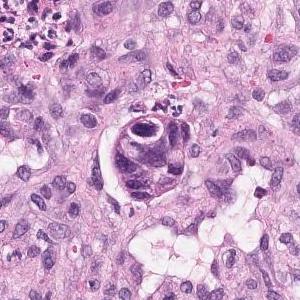
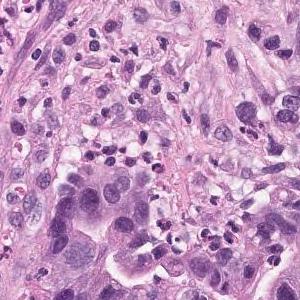
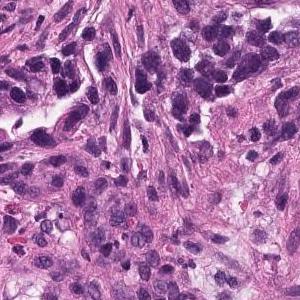
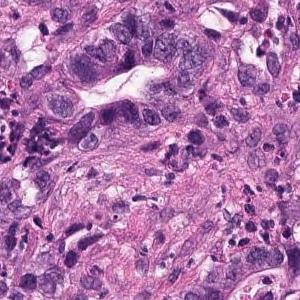
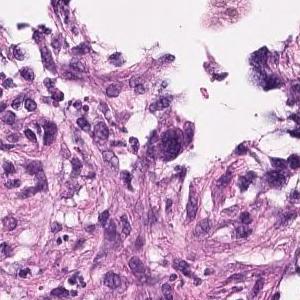
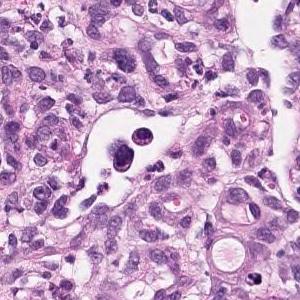
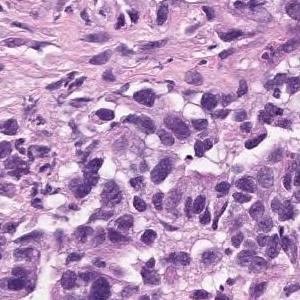
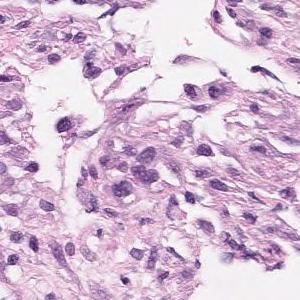
20× magnification, 8 tiles cut from one stomach biopsy slide, each 300 × 300 pixels.
The pathologist's report on the biopsy slide these tiles were taken from. Both the report and the diagnosis are for the whole slide: these tiles need not show every feature named, and some of the tissue shown may not be tumor.
Medium to small, irregular glandular ducts are formed in the superficial epithelium, and in some cases, the glandular ducts are fused to show solid alveolar lesions and infiltrating tumor tissue is observed. Moderately to poorly differentiated adenocarcinoma.
